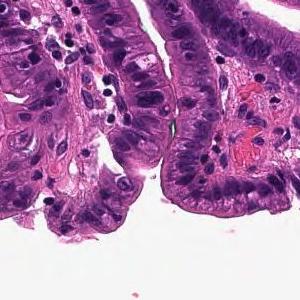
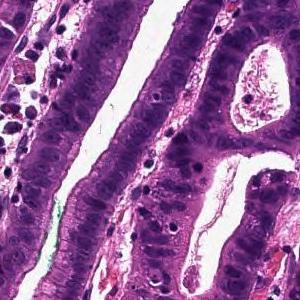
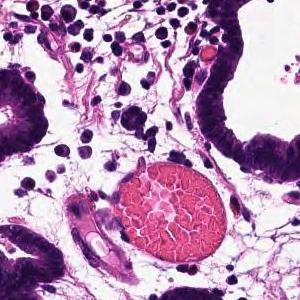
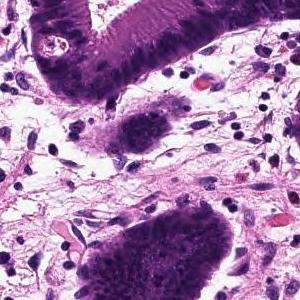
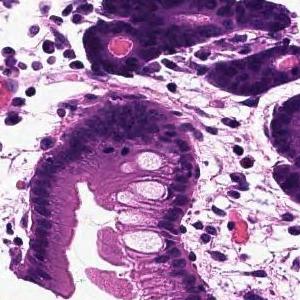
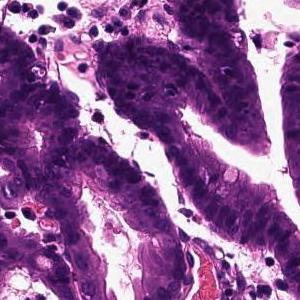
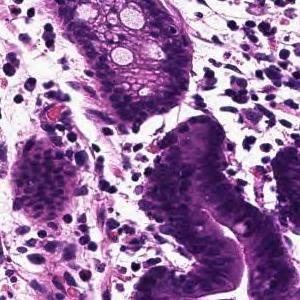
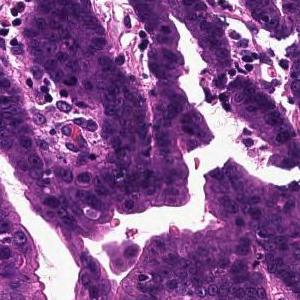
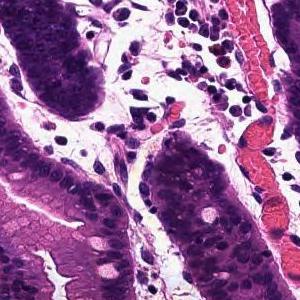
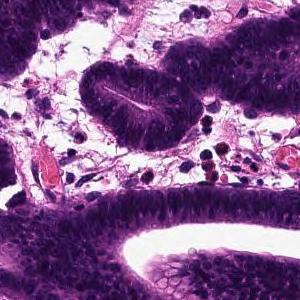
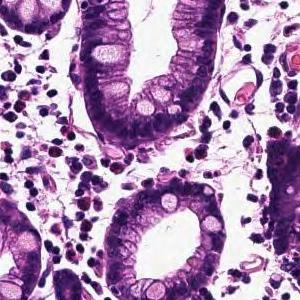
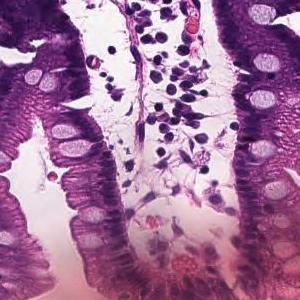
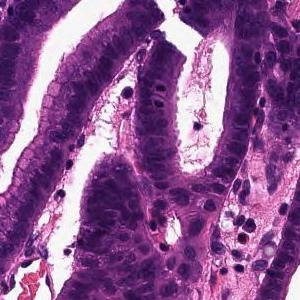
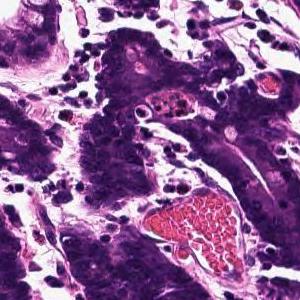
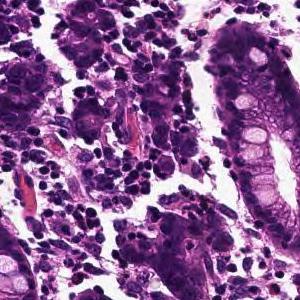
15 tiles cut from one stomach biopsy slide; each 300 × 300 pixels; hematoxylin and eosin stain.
Report on the slide these tiles come from. The findings and the diagnosis refer to the entire slide; these tiles show only part of it, possibly with non-tumor tissue, and may not show every feature named.
Tumor tissue that infiltrates by forming large papillary or large irregular glandular ducts is observed confined to the mucosa. Papillary adenocarcinoma
